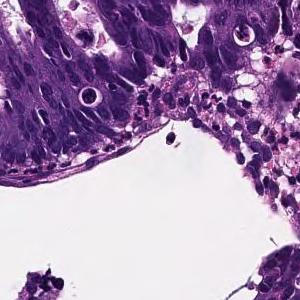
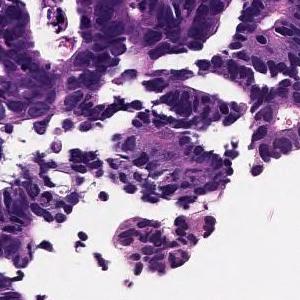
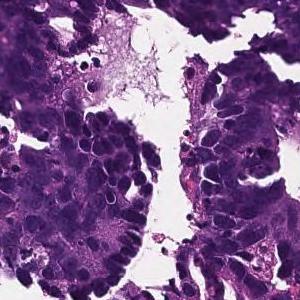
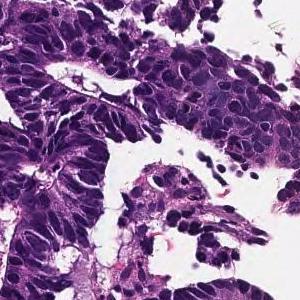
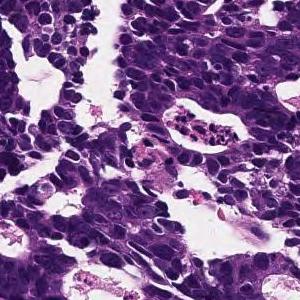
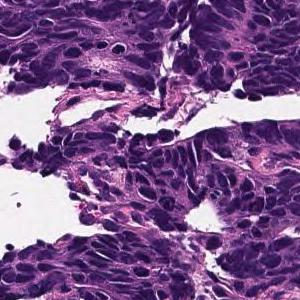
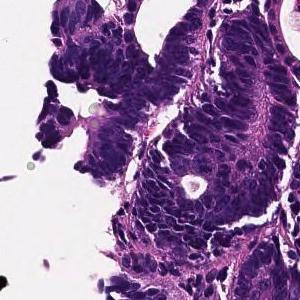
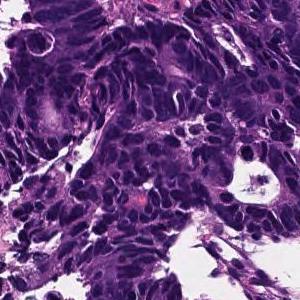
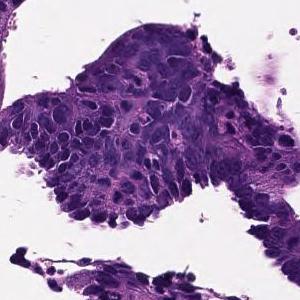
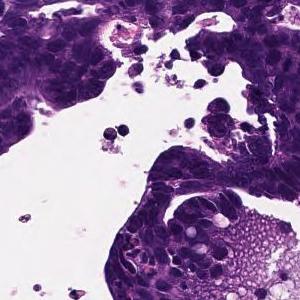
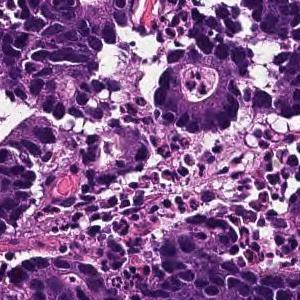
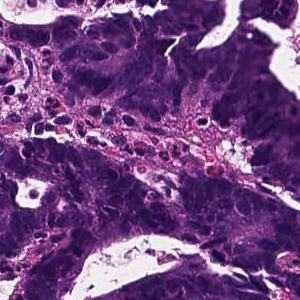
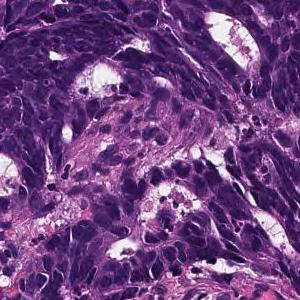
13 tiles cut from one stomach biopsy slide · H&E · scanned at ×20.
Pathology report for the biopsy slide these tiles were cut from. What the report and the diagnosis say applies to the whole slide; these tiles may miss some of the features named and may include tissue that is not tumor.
In the superficial epithelium, tumor tissue that invades by forming medium-sized to small, irregular ducts is observed. moderately differentiated tubular adenocarcinoma.
